10 tiles from the same stomach biopsy slide · H&E · 20× magnification.
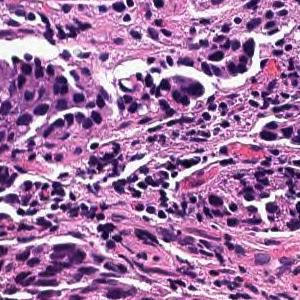
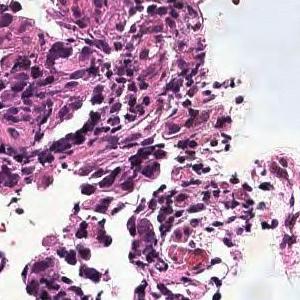
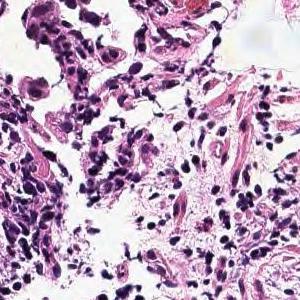
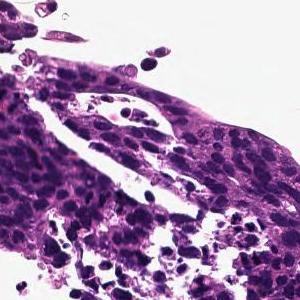
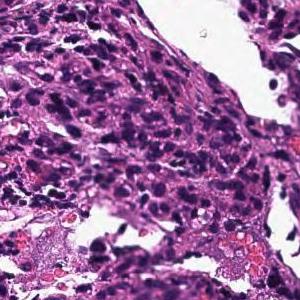
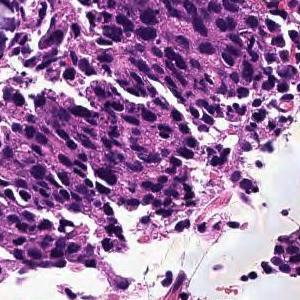
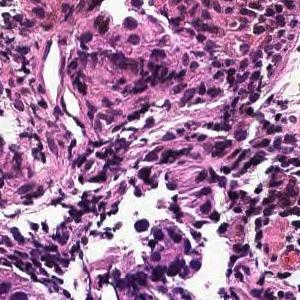
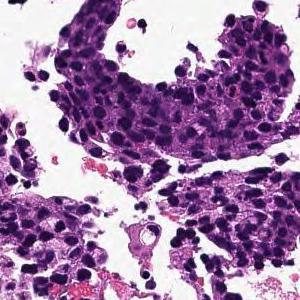
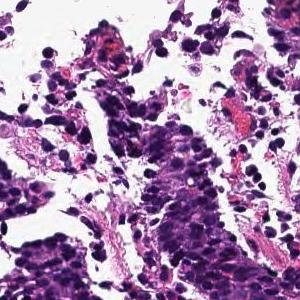
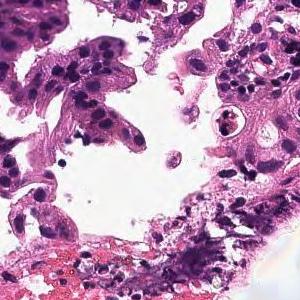
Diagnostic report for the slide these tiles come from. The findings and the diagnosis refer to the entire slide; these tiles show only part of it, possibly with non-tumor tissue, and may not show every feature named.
In the superficial epithelium, tumor tissue that invades by forming medium-sized to small, irregular ducts is observed. moderately differentiated tubular adenocarcinoma.
